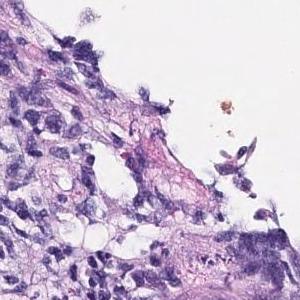
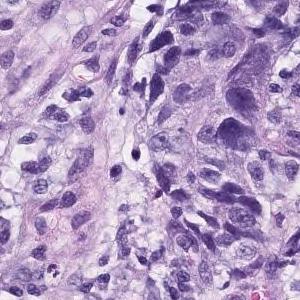
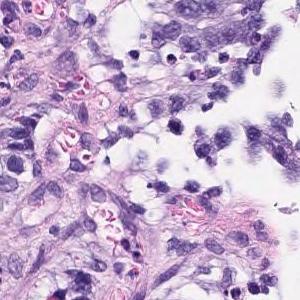
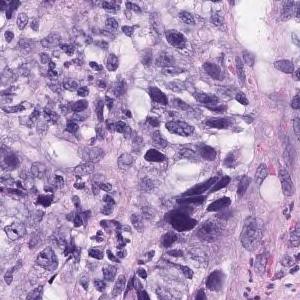
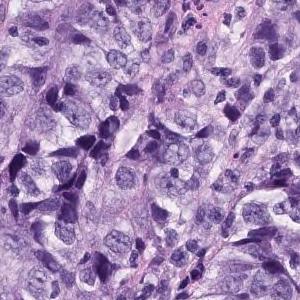
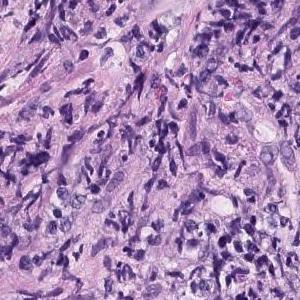
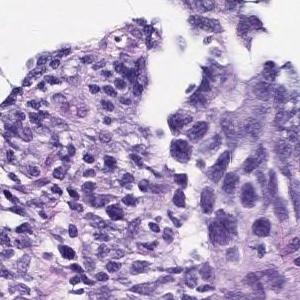
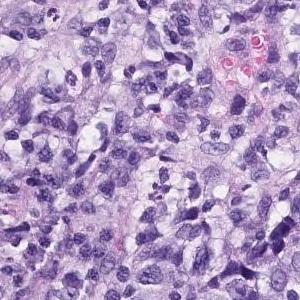
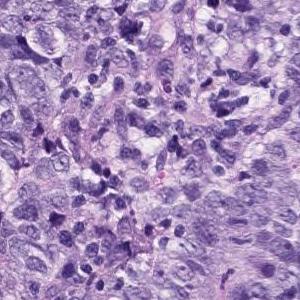
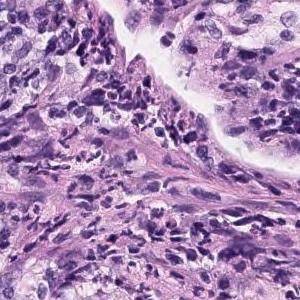
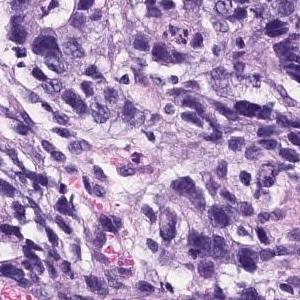
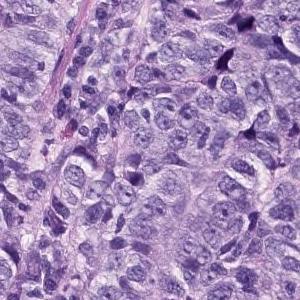
H&E stain; 12 tiles from the same stomach biopsy slide; 300 × 300 pixels each.
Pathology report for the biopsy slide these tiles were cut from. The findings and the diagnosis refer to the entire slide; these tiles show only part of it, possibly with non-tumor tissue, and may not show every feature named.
The superficial epithelium shows a large sheet-like shape, and some tumor tissue infiltrates with small irregular ducts. Poorly differentiated adenocarcinoma, solid-type
Histological subtype: Poorly differentiated adenocarcinoma, solid type. This name comes from the Japanese Classification of Gastric Carcinoma; the WHO 2019 classification calls it tubular adenocarcinoma, poorly differentiated.
